H&E · 15 tiles cut from one stomach biopsy slide · 300 × 300 pixels each.
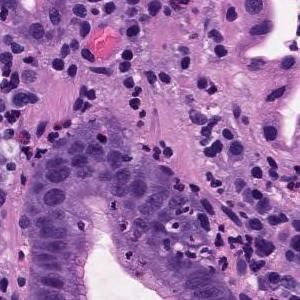
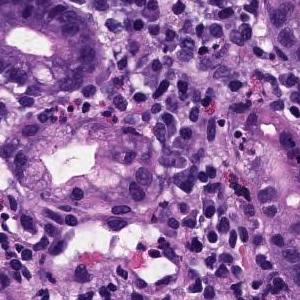
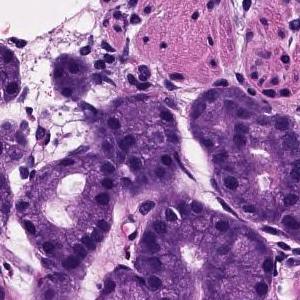
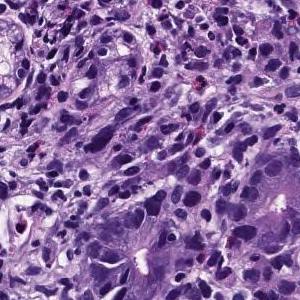
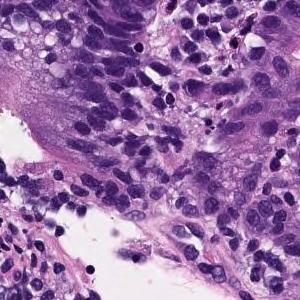
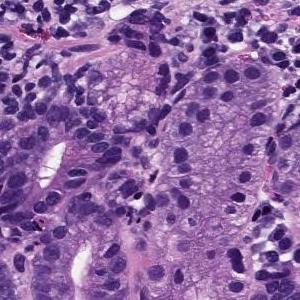
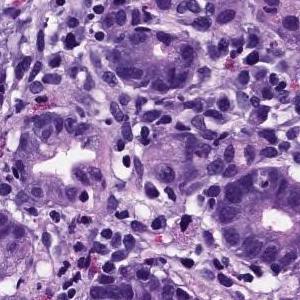
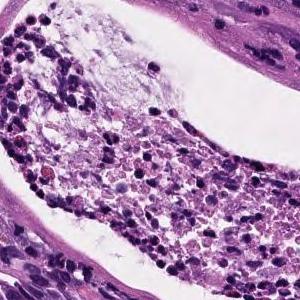
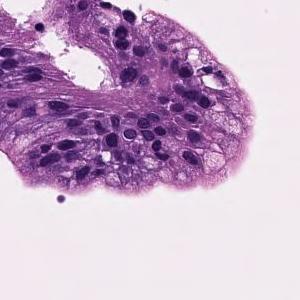
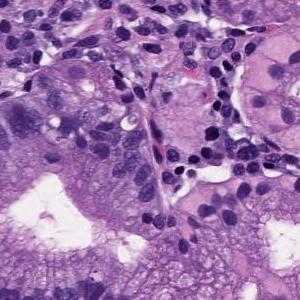
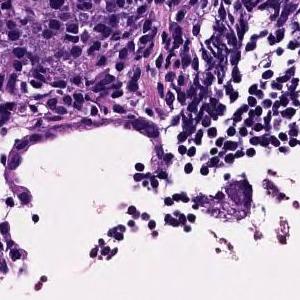
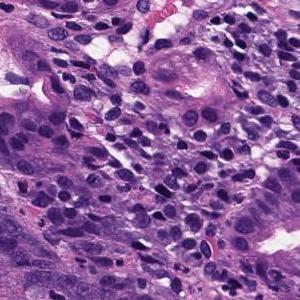
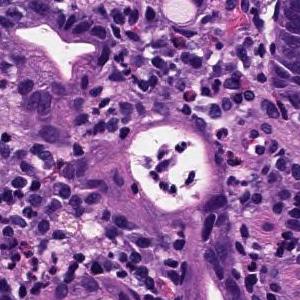
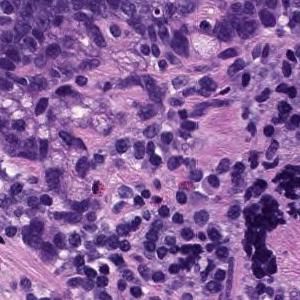
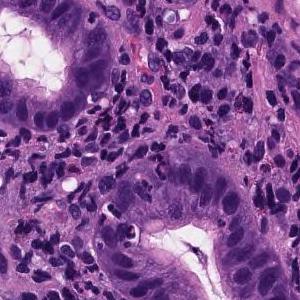
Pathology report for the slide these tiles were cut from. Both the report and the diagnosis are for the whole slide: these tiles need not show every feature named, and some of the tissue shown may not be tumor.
Medium to small, irregular glandular ducts are formed in the superficial epithelium, and in some cases, the glandular ducts are fused to show solid alveolar lesions and infiltrating tumor tissue is observed. Moderately to poorly differentiated adenocarcinoma.
